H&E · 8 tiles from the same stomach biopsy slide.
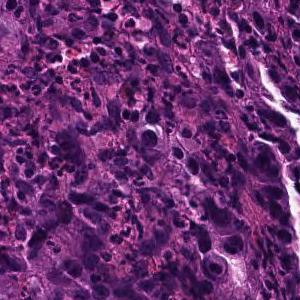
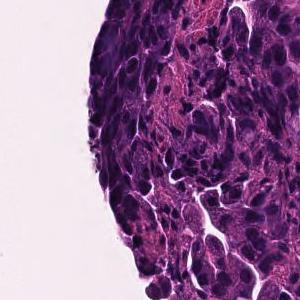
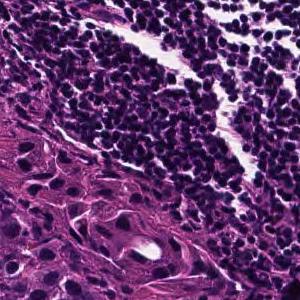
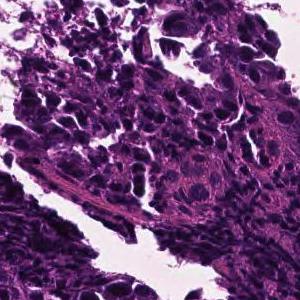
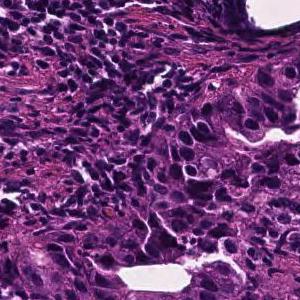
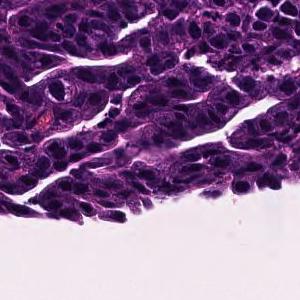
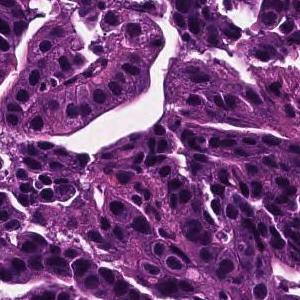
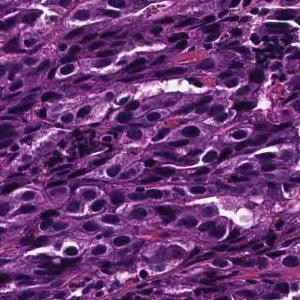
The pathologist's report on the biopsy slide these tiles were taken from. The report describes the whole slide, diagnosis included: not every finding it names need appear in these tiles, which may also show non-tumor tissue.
Tumor tissue consisting of medium-sized, cord-like or irregular glandular fusion and infiltration is observed in the superficial epithelium. Poorly differentiated adenocarcinoma, non-solid type or moderately differentiated tubular adenocarcinoma
Tumor subtype: moderately to poorly differentiated adenocarcinoma.
The non-solid type named here is a Japanese Classification of Gastric Carcinoma category.
